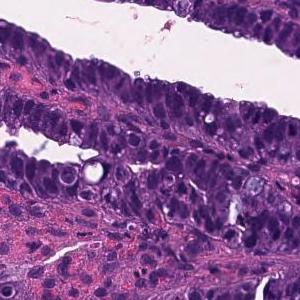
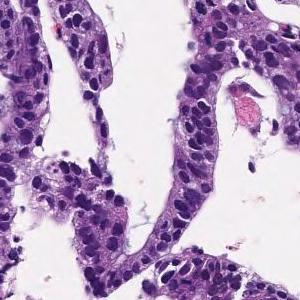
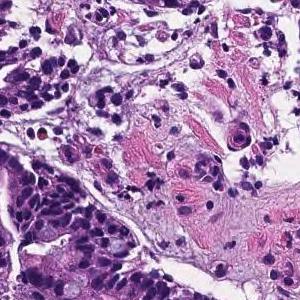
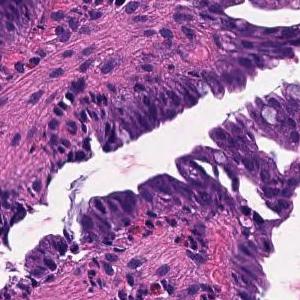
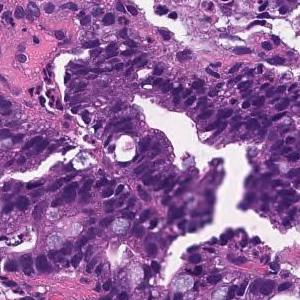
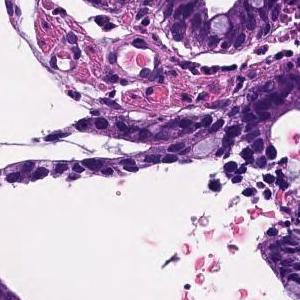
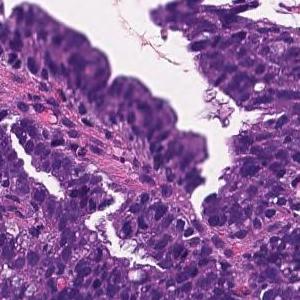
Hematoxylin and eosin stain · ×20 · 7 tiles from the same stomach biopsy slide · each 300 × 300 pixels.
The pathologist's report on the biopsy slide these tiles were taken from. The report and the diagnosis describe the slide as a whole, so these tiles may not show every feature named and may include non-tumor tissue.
Tumor cells are large, highly columnar, large club-shaped nuclei, and are associated with chromatin aggregation. Papillary adenocarcinoma.
